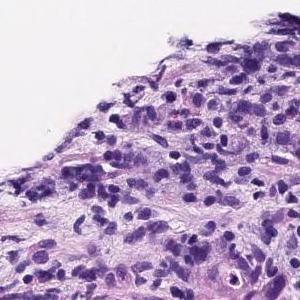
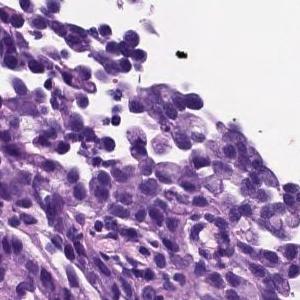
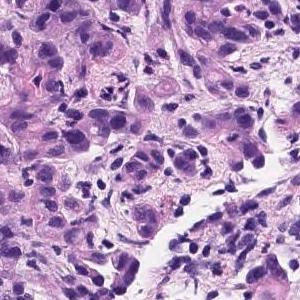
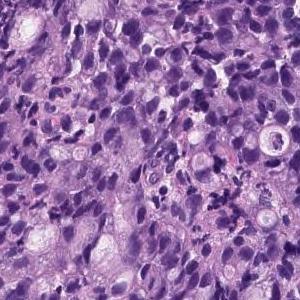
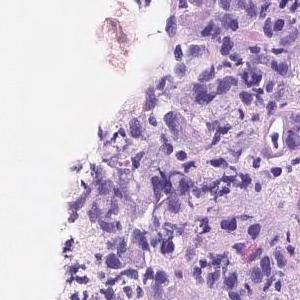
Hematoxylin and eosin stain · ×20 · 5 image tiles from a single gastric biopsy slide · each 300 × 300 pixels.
Report on the slide these tiles come from. The report and the diagnosis describe the slide as a whole, so these tiles may not show every feature named and may include non-tumor tissue.
Diffusely growing signet-ring cells are found in the lamina propria. Signet ring cell carcinoma.
